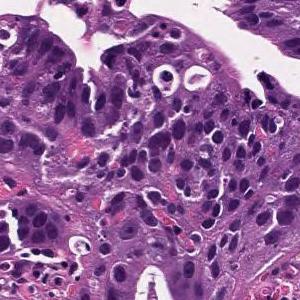
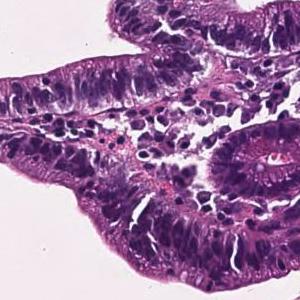
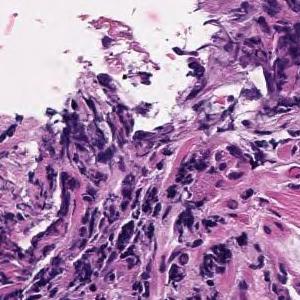
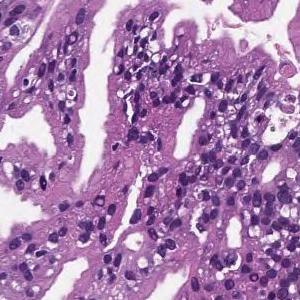
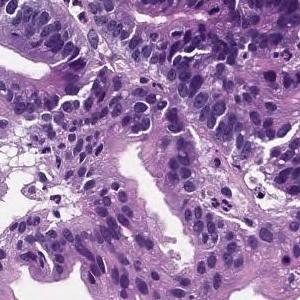
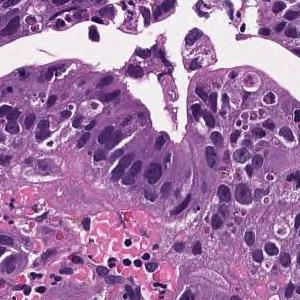
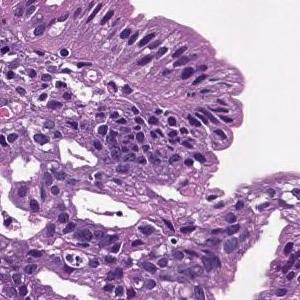
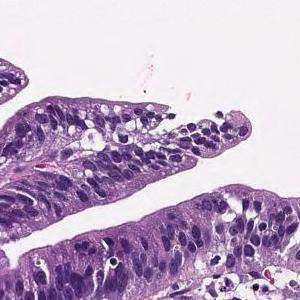
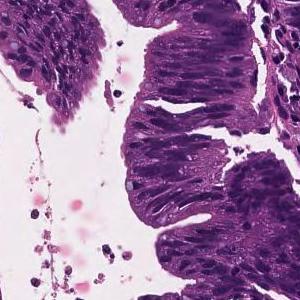
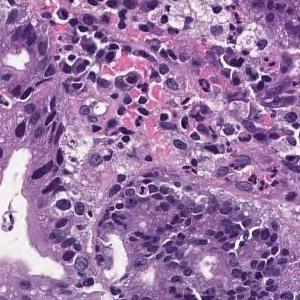
10 tiles from the same stomach biopsy slide · 300 × 300 pixels each · H&E stain.
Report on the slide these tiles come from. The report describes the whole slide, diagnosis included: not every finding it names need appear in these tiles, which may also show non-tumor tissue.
Tumor cells are large, highly columnar, large club-shaped nuclei, and are associated with chromatin aggregation. Papillary adenocarcinoma.
